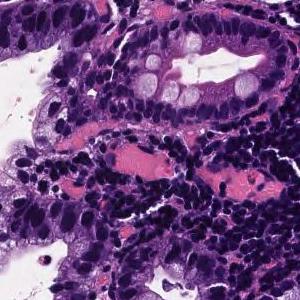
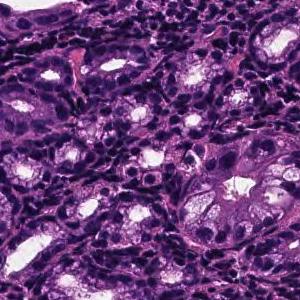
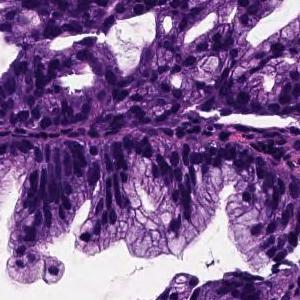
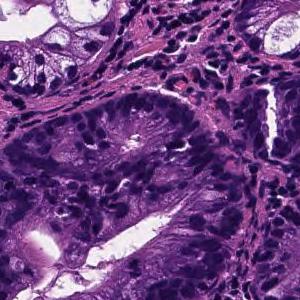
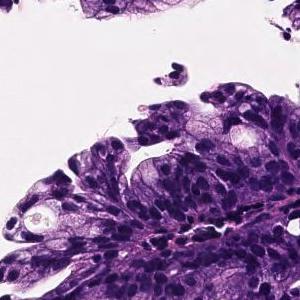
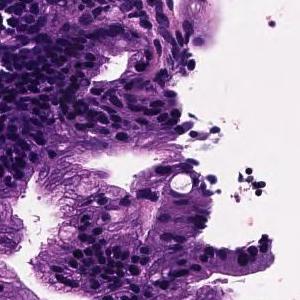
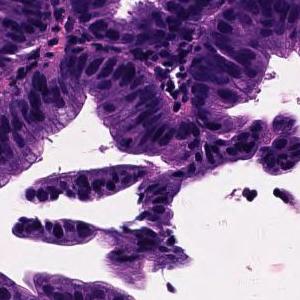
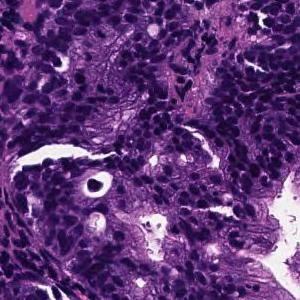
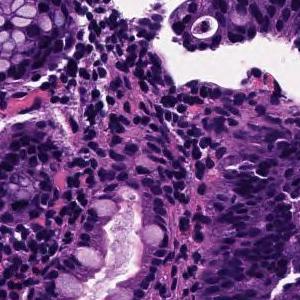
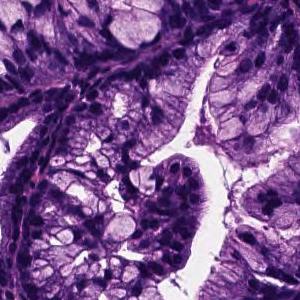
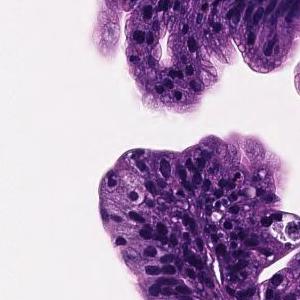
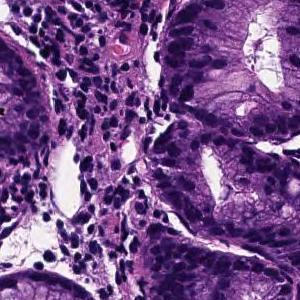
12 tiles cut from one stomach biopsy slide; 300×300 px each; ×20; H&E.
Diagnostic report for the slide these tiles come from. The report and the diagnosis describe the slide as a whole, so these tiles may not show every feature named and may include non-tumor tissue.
On the superficial epithelium, tumor tissue that infiltrates by forming medium-sized papillary or small irregular ducts is observed. Papillary adenocarcinoma
